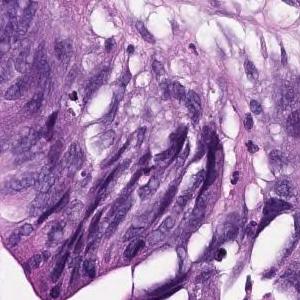
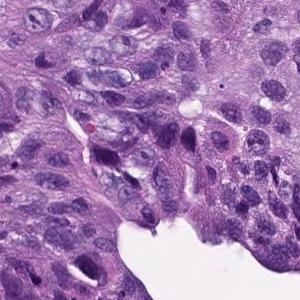
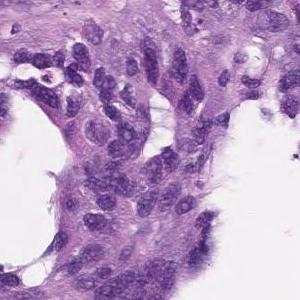
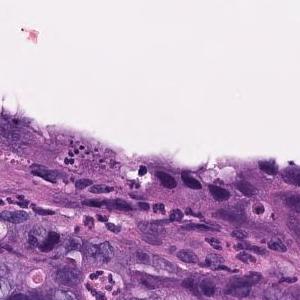
4 patches cut from one gastric biopsy slide, each 300 × 300 pixels, scanned at ×20.
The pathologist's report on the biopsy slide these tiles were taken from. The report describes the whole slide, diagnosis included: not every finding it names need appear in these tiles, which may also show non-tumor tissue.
In the superficial epithelium, tumor tissue that invades by forming medium-sized to small, irregular ducts is observed. Moderately differentiated adenocarcinoma.
Subtype: Moderately differentiated tubular adenocarcinoma.
